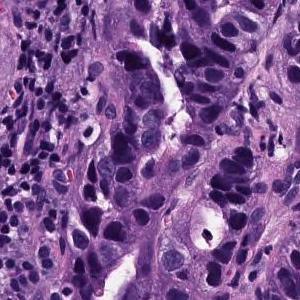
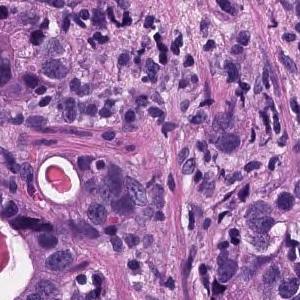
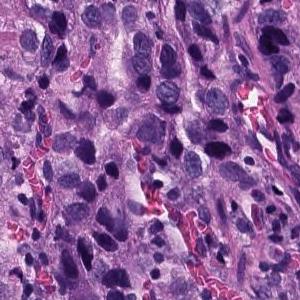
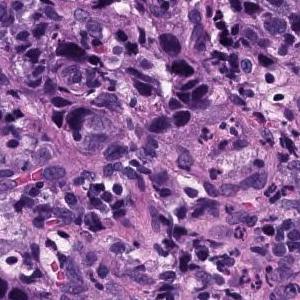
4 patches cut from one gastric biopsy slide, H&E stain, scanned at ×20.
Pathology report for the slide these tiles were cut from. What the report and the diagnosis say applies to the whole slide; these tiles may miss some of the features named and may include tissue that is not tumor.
In the epithelium, tumor tissue in which medium to small irregular gland ducts fuse with each other and infiltrate the submucosa. moderately differentiated tubular adenocarcinoma
